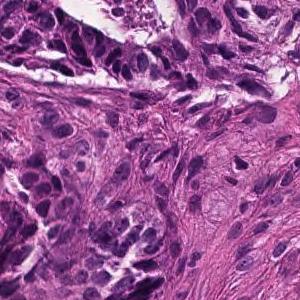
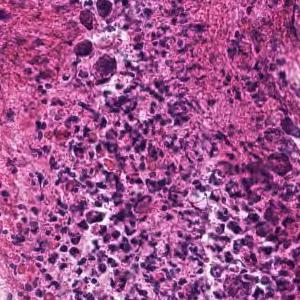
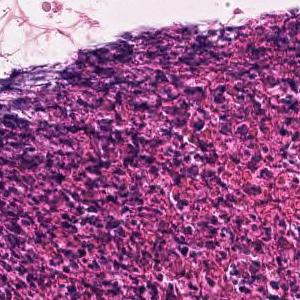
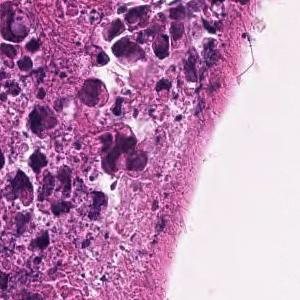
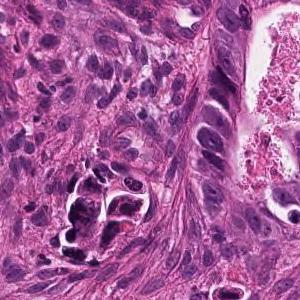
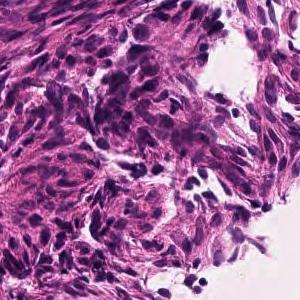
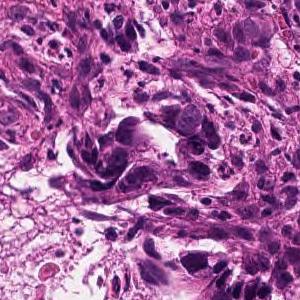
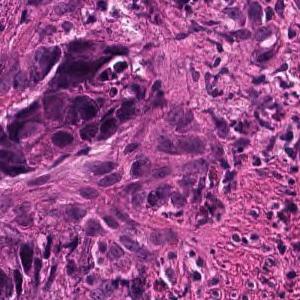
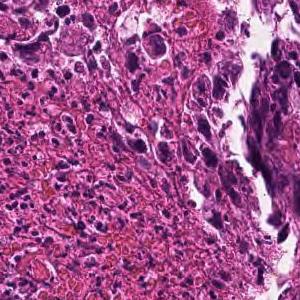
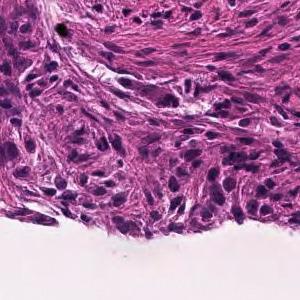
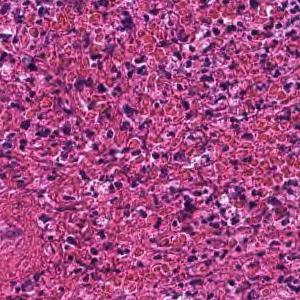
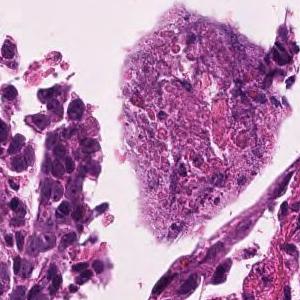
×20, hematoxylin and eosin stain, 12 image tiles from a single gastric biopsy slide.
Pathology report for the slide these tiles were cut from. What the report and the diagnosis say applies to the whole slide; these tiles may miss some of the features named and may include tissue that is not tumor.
In the superficial epithelium, tumor tissue that invades by forming medium-sized to small, irregular ducts is observed. moderately differentiated tubular adenocarcinoma.
